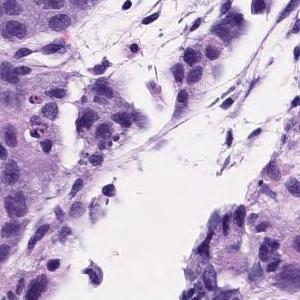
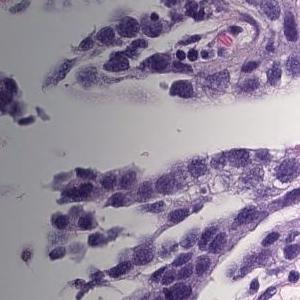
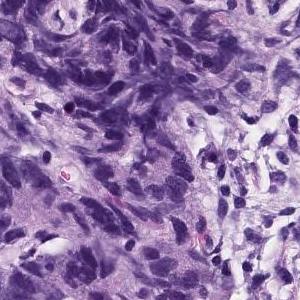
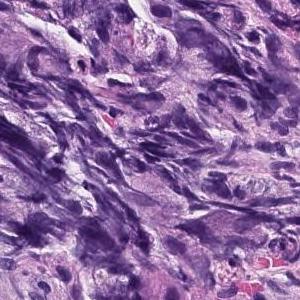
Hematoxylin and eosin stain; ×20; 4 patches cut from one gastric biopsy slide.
Pathology report for the biopsy slide these tiles were cut from. The report and the diagnosis describe the slide as a whole, so these tiles may not show every feature named and may include non-tumor tissue.
Atypical epithelial cells with an increased N/C ratio proliferate and consist of a part that shows the formation of gland ducts and a part that shows solid growth. Poorly differentiated adenocarcinoma, solid-type
Tumor subtype: poorly differentiated adenocarcinoma, solid type (Japanese Classification of Gastric Carcinoma). The WHO 2019 equivalent is tubular adenocarcinoma, poorly differentiated.
